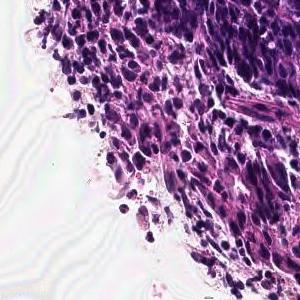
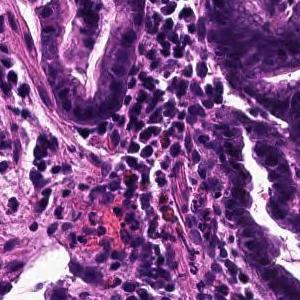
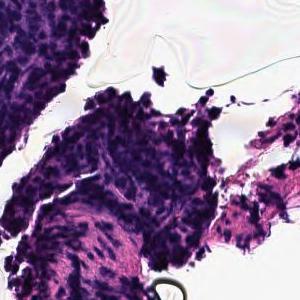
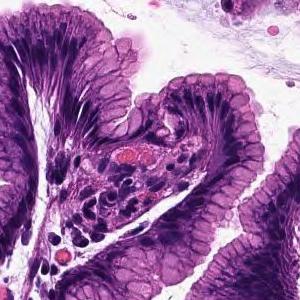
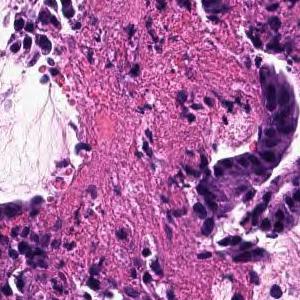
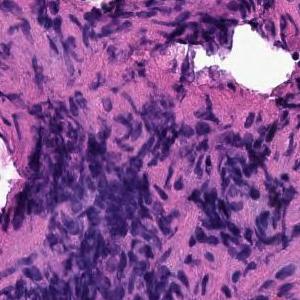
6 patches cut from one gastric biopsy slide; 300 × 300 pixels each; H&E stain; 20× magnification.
Diagnostic report for the slide these tiles come from. The report describes the whole slide, diagnosis included: not every finding it names need appear in these tiles, which may also show non-tumor tissue.
The superficial epithelium shows a large sheet-like shape, and some tumor tissue infiltrates with small irregular ducts. Poorly differentiated adenocarcinoma, solid-type
Subtype: Poorly differentiated adenocarcinoma, solid type. This name comes from the Japanese Classification of Gastric Carcinoma; the WHO 2019 classification calls it tubular adenocarcinoma, poorly differentiated.
